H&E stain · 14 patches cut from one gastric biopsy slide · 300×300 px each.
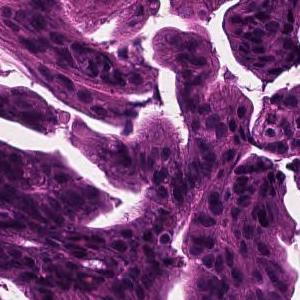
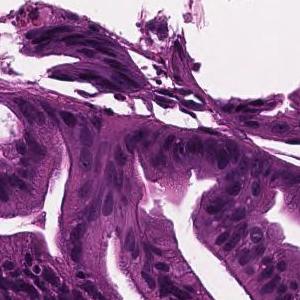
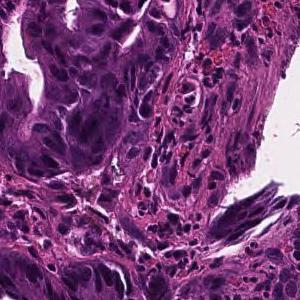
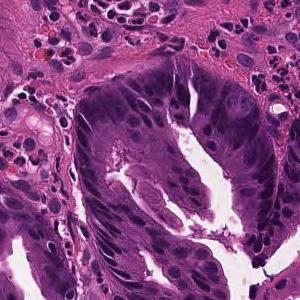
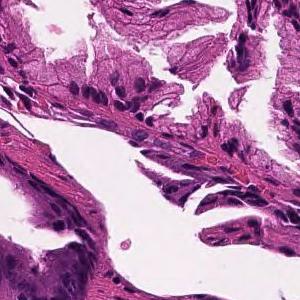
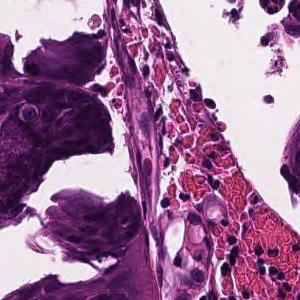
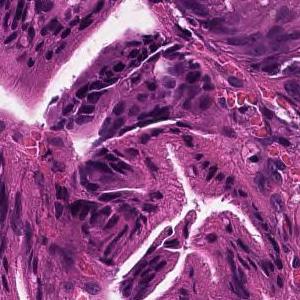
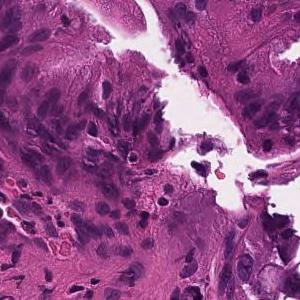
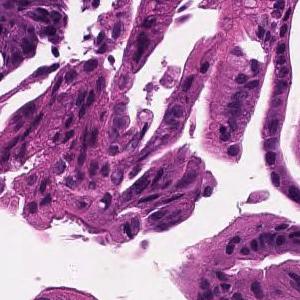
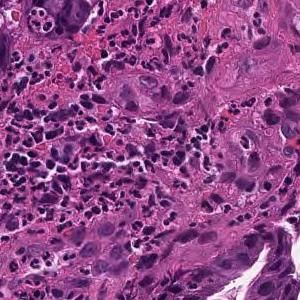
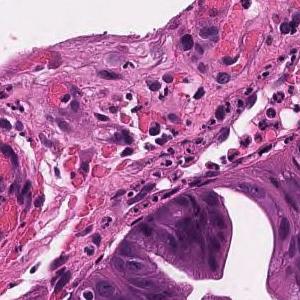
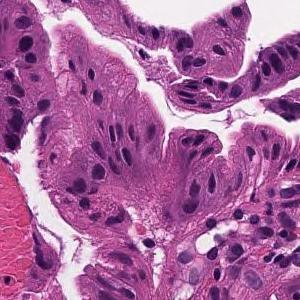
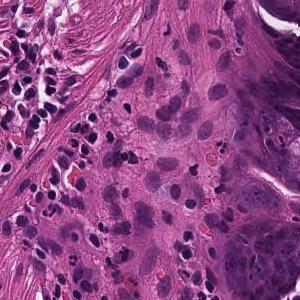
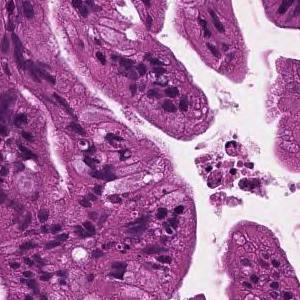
Report on the slide these tiles come from. The report and the diagnosis describe the slide as a whole, so these tiles may not show every feature named and may include non-tumor tissue.
Tumor cells are large, highly columnar, large club-shaped nuclei, and are associated with chromatin aggregation. Papillary adenocarcinoma.
